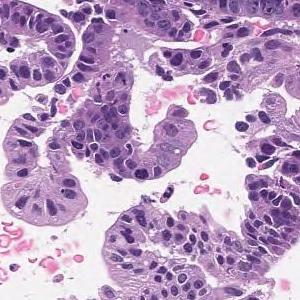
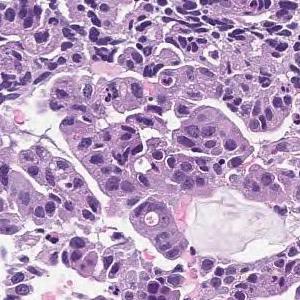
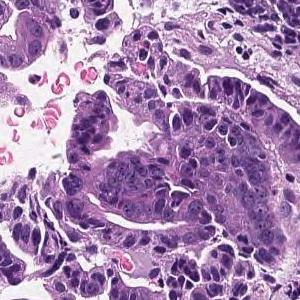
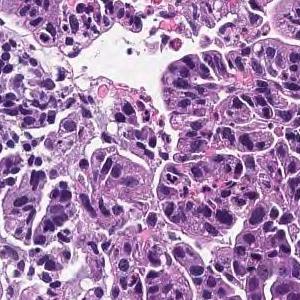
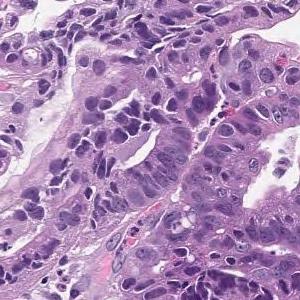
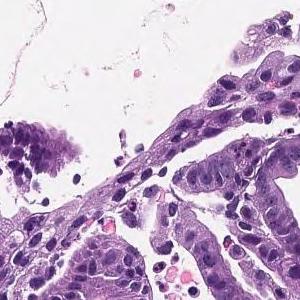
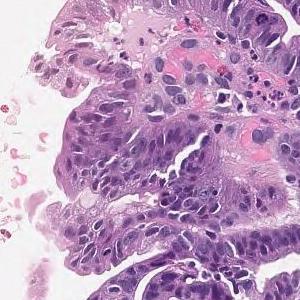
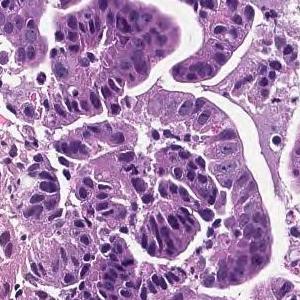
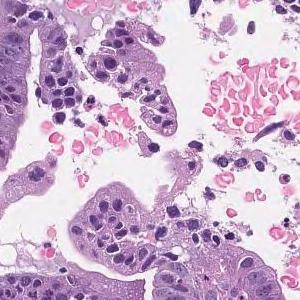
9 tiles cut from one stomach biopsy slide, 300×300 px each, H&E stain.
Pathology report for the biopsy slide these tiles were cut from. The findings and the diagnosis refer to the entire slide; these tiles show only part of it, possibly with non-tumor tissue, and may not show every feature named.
Tumor cells are large, highly columnar, large club-shaped nuclei, and are associated with chromatin aggregation. Papillary adenocarcinoma.
